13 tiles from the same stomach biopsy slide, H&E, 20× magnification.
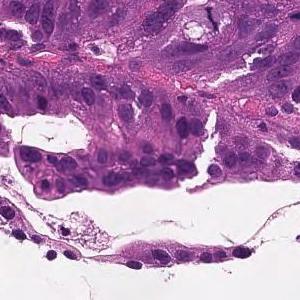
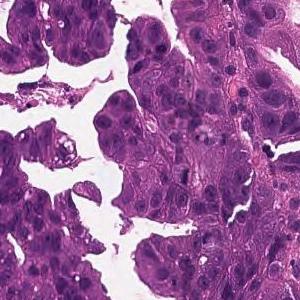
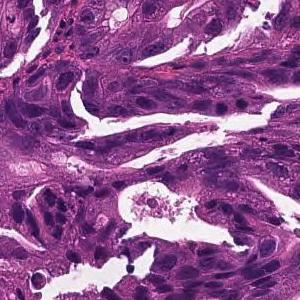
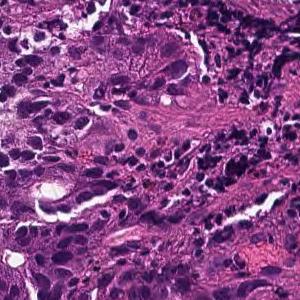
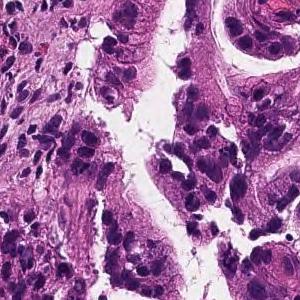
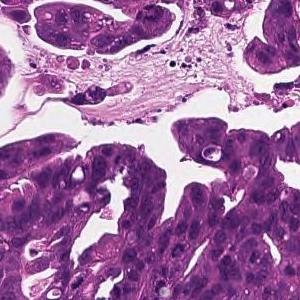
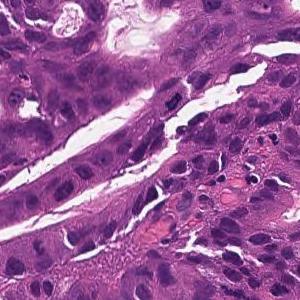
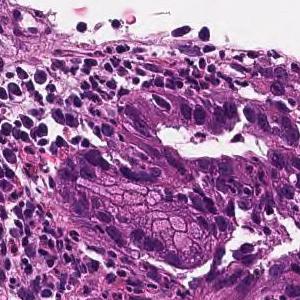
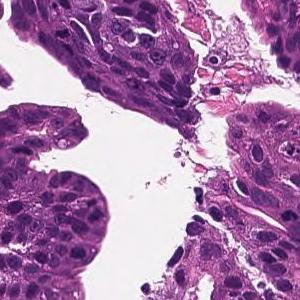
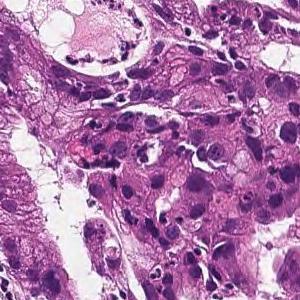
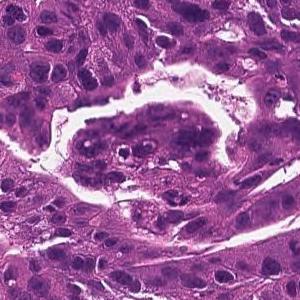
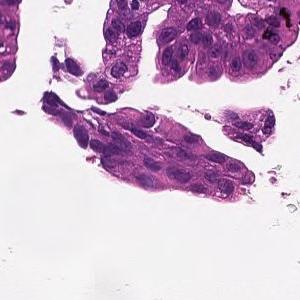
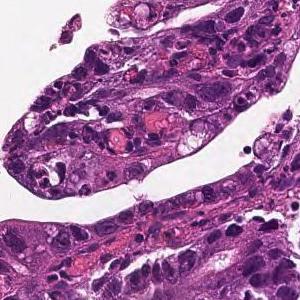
Pathology report for the slide these tiles were cut from. The report and the diagnosis describe the slide as a whole, so these tiles may not show every feature named and may include non-tumor tissue.
On the superficial epithelium, tumor tissue is found in which medium-sized irregular gland ducts fuse with each other and infiltrate. moderately differentiated tubular adenocarcinoma
